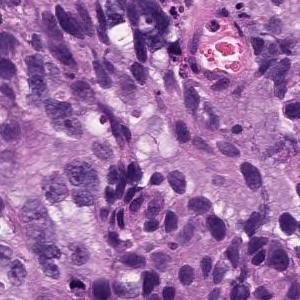
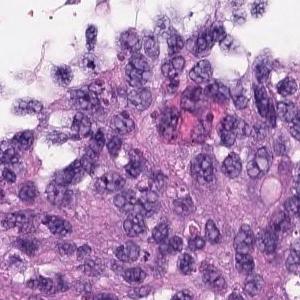
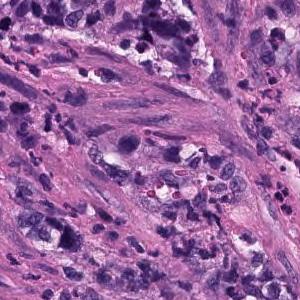
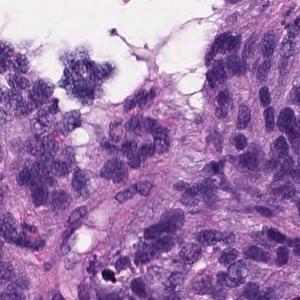
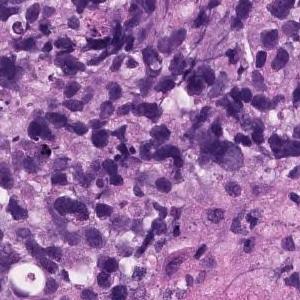
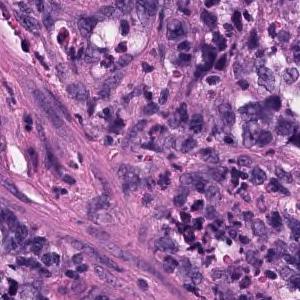
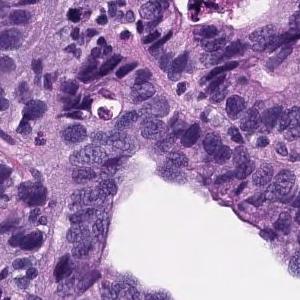
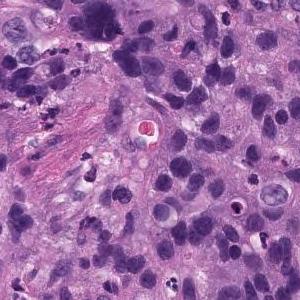
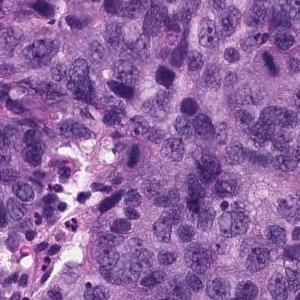
9 tiles from the same stomach biopsy slide, 300×300 px each, H&E.
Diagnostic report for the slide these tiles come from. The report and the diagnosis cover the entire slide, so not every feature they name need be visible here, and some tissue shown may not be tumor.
Atypical l cells with atypical nuclei under the mucosa growing in isolation and scattered. Poorly differentiated adenocarcinoma (poorly differentiated adenocarcinoma, non-solid type)
Classified as poorly differentiated adenocarcinoma, non-solid type.
"Non-solid type" is a category of the Japanese Classification of Gastric Carcinoma.
